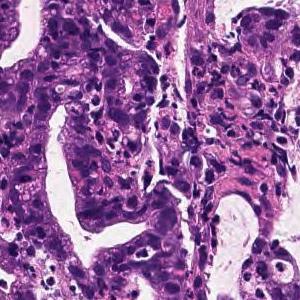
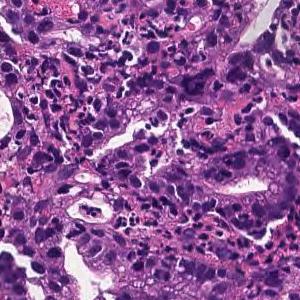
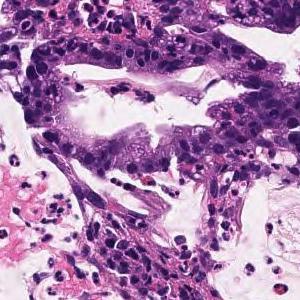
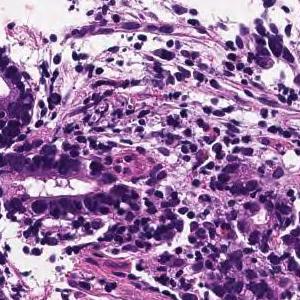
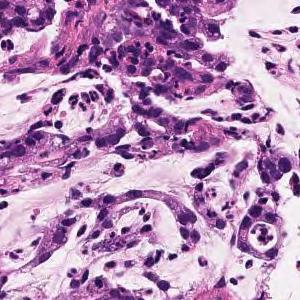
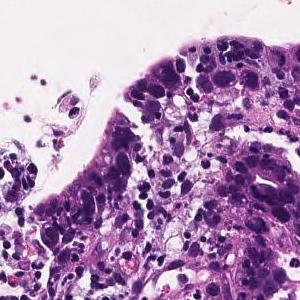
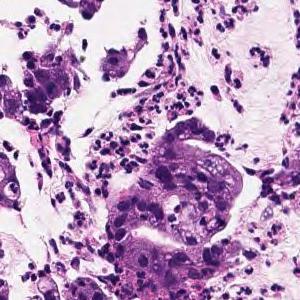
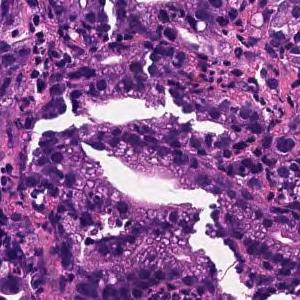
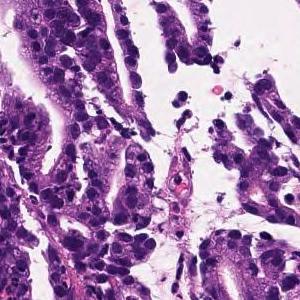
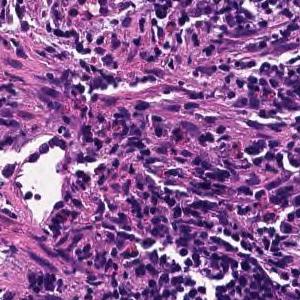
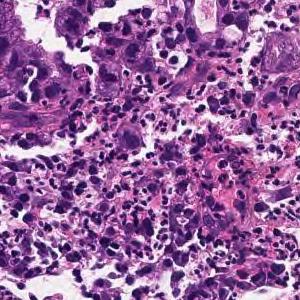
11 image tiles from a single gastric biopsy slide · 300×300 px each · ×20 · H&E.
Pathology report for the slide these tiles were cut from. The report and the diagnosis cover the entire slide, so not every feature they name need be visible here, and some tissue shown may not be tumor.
On the superficial epithelium, tumor tissue consisting of large, irregular glandular ducts partially fused and infiltrated is observed. Well to moderately differentiated tubular adenocarcinoma (well differentiated tubular adenocarcinoma, moderately differentiated tubular adenocarcinoma)
Histological subtype: Well to moderately differentiated tubular adenocarcinoma.
